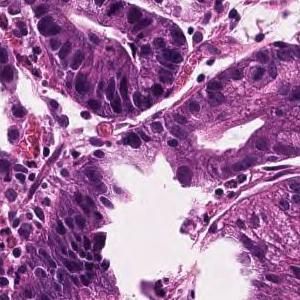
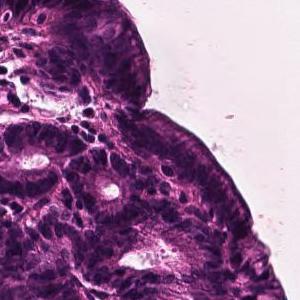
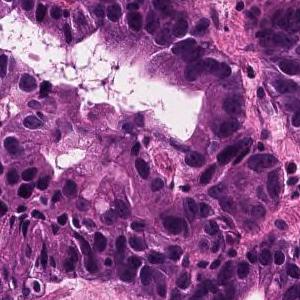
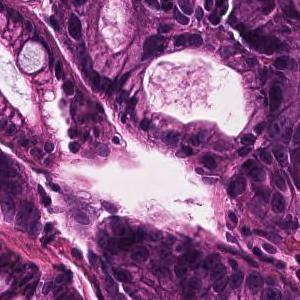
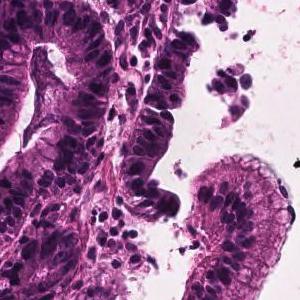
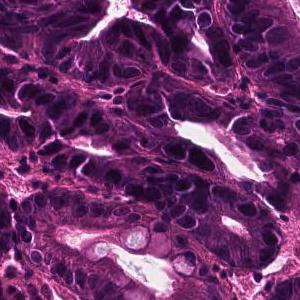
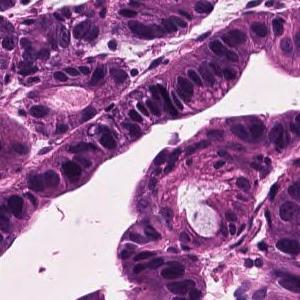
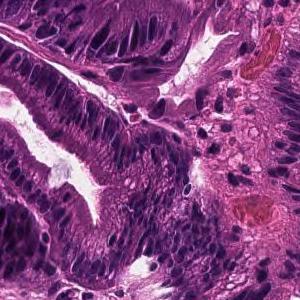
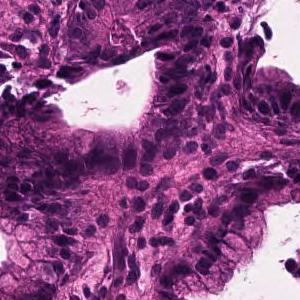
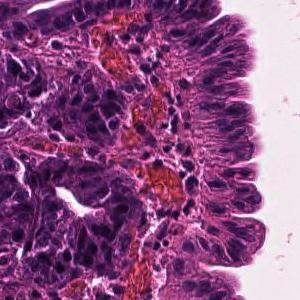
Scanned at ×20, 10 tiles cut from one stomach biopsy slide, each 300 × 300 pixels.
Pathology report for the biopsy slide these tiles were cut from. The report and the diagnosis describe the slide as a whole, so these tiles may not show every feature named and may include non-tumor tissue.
In the superficial epithelium, tumor tissue that invades by forming medium-sized to small, irregular ducts is observed. Well differentiated tubular adenocarcinoma.
